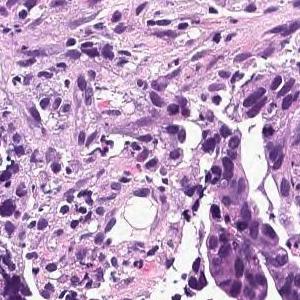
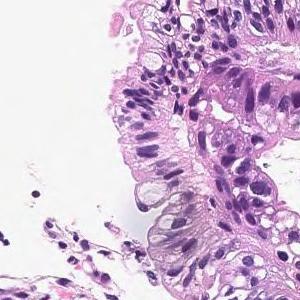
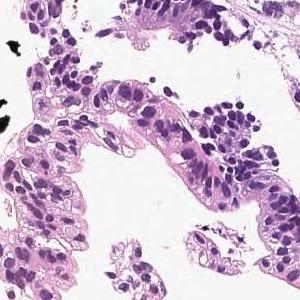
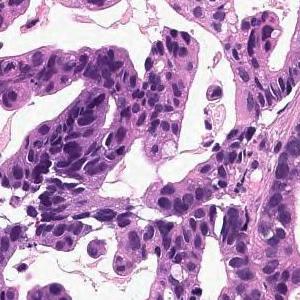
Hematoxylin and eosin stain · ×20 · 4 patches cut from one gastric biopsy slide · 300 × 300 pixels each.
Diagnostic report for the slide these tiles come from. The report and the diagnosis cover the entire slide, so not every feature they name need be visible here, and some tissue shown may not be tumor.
In the superficial epithelium, tumor tissue that invades by forming medium-sized to small, irregular ducts is observed. moderately differentiated tubular adenocarcinoma.
